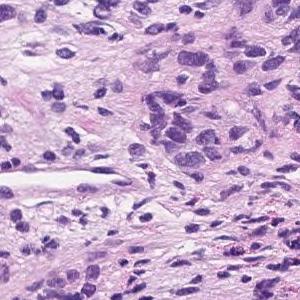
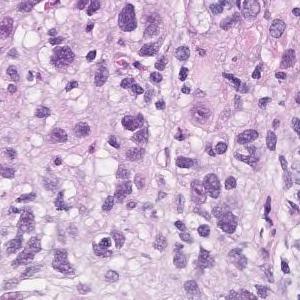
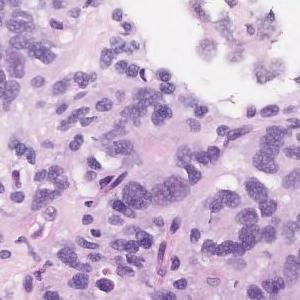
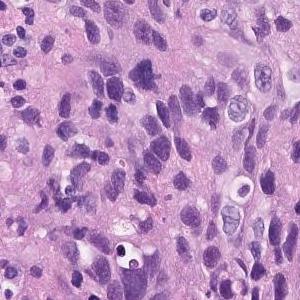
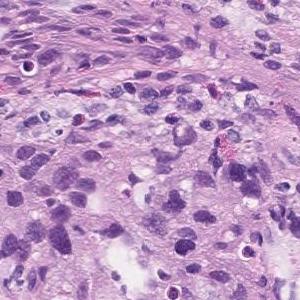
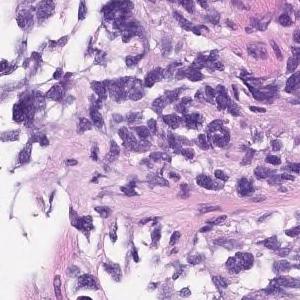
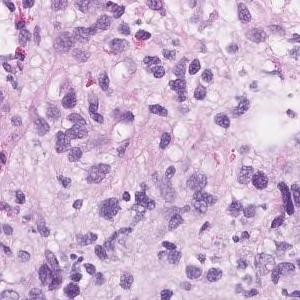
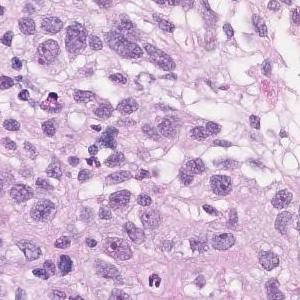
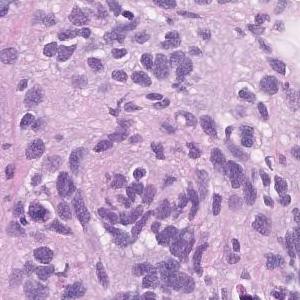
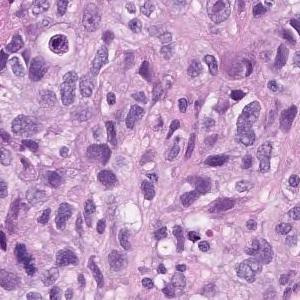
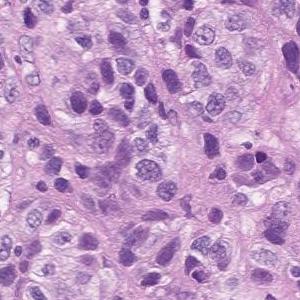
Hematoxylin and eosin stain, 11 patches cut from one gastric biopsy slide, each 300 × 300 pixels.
The pathologist's report on the biopsy slide these tiles were taken from. The findings and the diagnosis refer to the entire slide; these tiles show only part of it, possibly with non-tumor tissue, and may not show every feature named.
Atypical l cells with atypical nuclei under the mucosa growing in isolation and scattered. Poorly differentiated adenocarcinoma (poorly differentiated adenocarcinoma, non-solid type)
Histological subtype: Poorly differentiated adenocarcinoma, non-solid type.
The non-solid type named here is a Japanese Classification of Gastric Carcinoma category.
